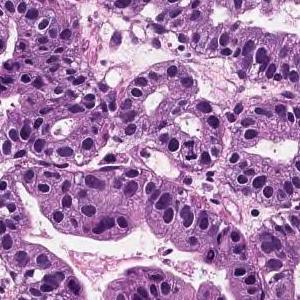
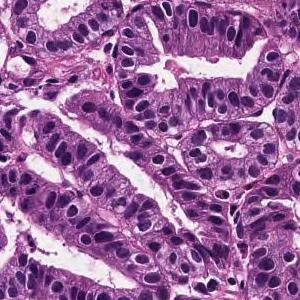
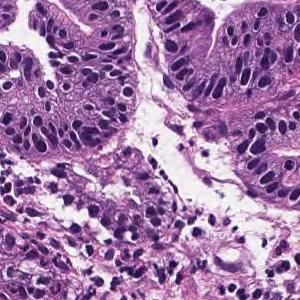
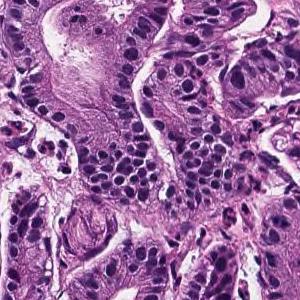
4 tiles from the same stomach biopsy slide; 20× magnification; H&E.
The pathologist's report on the biopsy slide these tiles were taken from. What the report and the diagnosis say applies to the whole slide; these tiles may miss some of the features named and may include tissue that is not tumor.
On the superficial epithelium, tumor tissue that infiltrates by forming medium-sized round or small irregular ducts is observed. Papillary adenocarcinoma
